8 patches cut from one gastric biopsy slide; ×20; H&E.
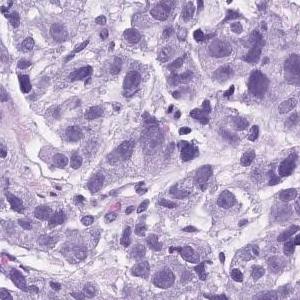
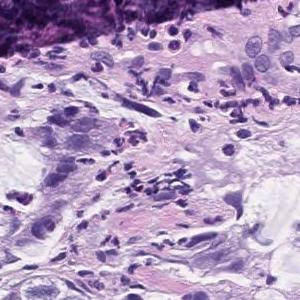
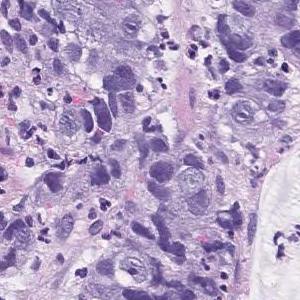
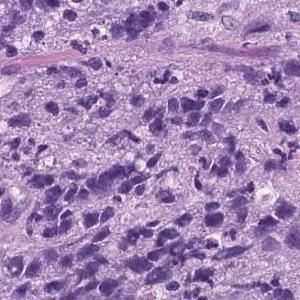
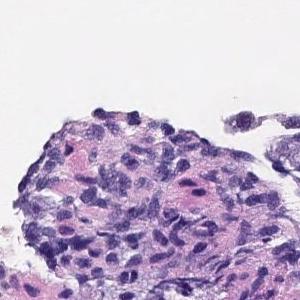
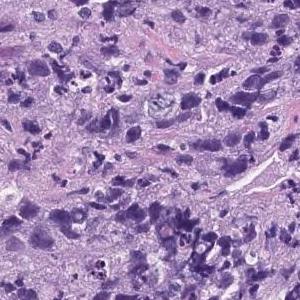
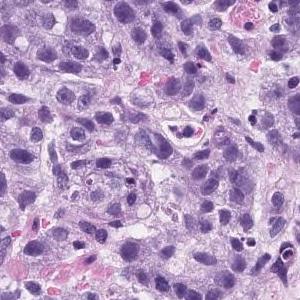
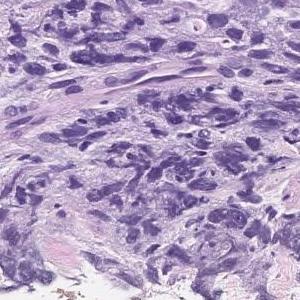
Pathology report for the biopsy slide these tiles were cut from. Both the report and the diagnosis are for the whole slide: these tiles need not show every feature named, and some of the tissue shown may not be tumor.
Atypical l cells with atypical nuclei forming solid vesicles or small irregular atypical ducts that proliferate in a complex manner. poorly differentiated adenocarcinoma, solid type, moderately differentiated tubular adenocarcinoma
The term "solid type" comes from the Japanese Classification of Gastric Carcinoma; the WHO 2019 equivalent is tubular adenocarcinoma, poorly differentiated.
